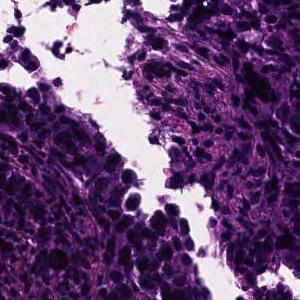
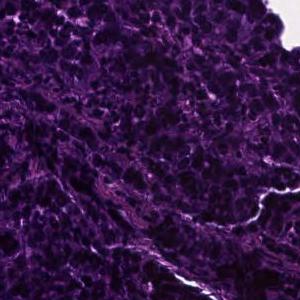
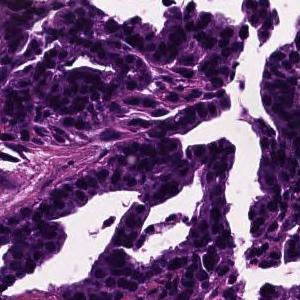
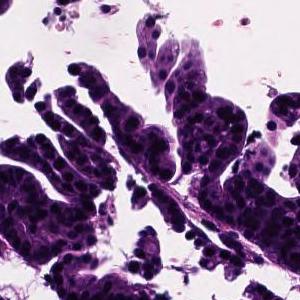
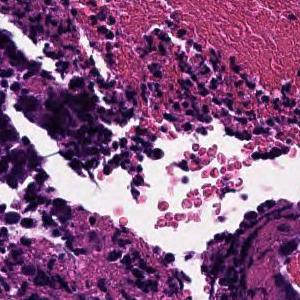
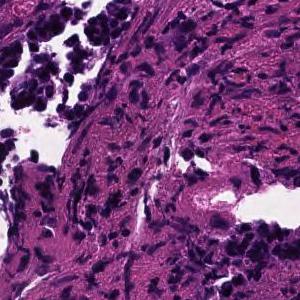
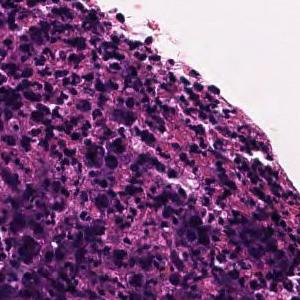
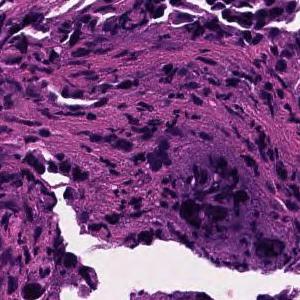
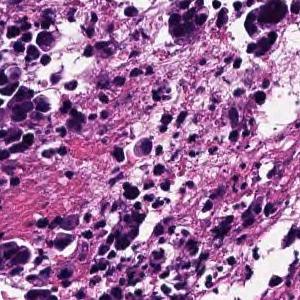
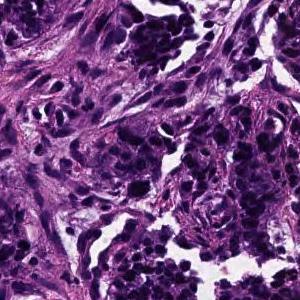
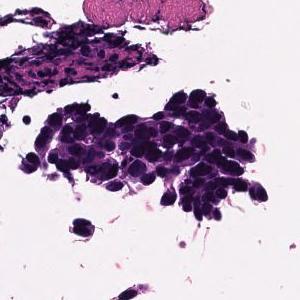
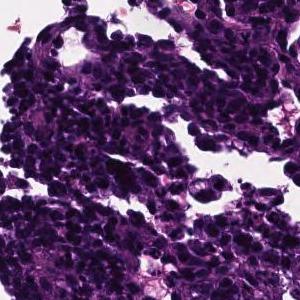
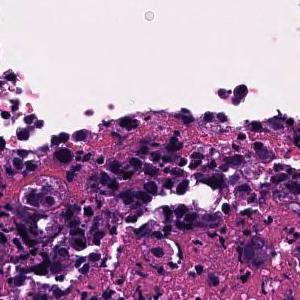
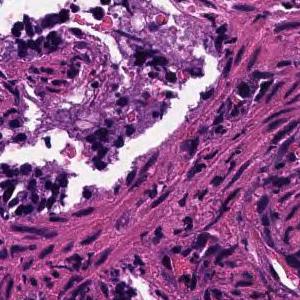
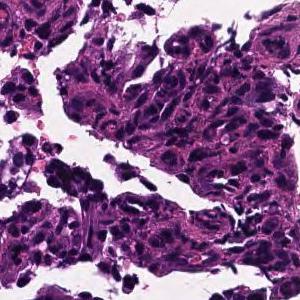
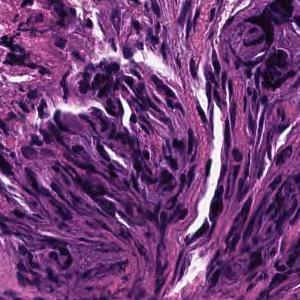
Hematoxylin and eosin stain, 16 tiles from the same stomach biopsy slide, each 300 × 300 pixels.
Pathology report for the slide these tiles were cut from. The findings and the diagnosis refer to the entire slide; these tiles show only part of it, possibly with non-tumor tissue, and may not show every feature named.
In the superficial epithelium, tumor tissue that invades by forming medium-sized to small, irregular ducts is observed. moderately differentiated tubular adenocarcinoma.
